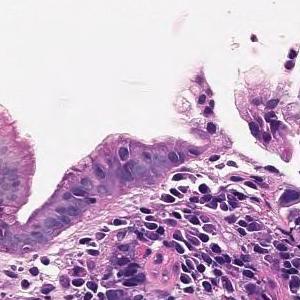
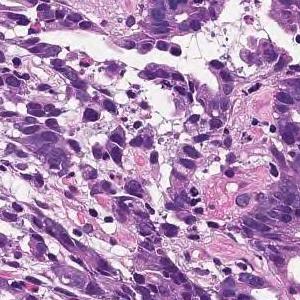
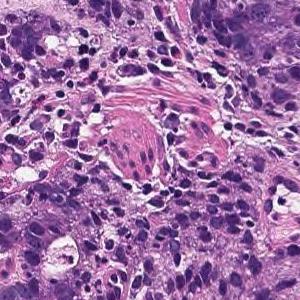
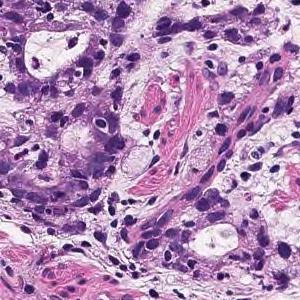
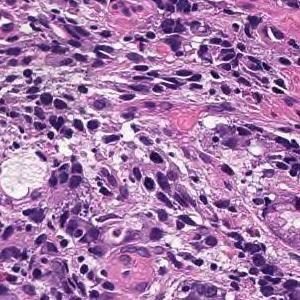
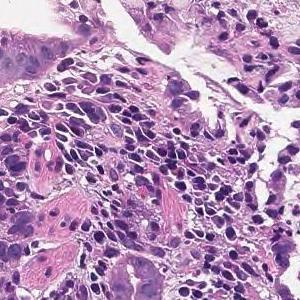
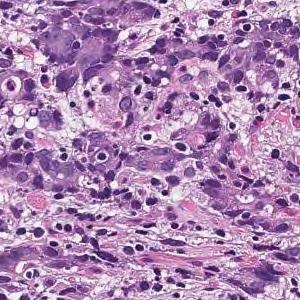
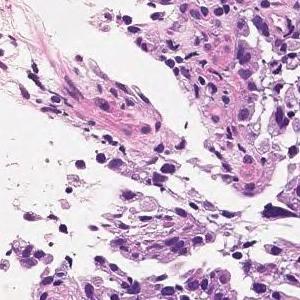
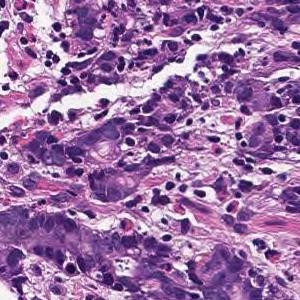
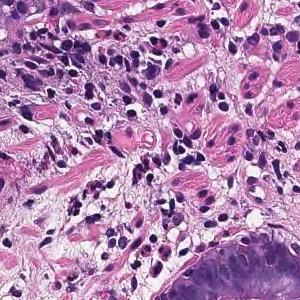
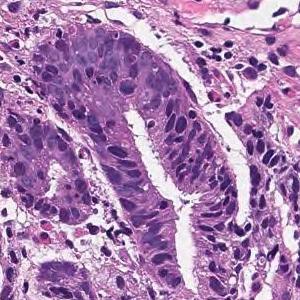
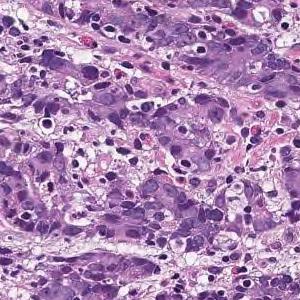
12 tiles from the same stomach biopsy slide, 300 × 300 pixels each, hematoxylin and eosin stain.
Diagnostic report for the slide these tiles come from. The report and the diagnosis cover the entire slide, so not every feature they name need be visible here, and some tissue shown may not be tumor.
Tumor tissue consisting of cord-like or small, irregular glandular ducts fused and infiltrated is observed in the superficial epithelium. Poorly differentiated adenocarcinoma, non-solid type
"Non-solid type" is a category of the Japanese Classification of Gastric Carcinoma.
